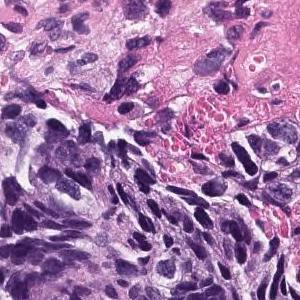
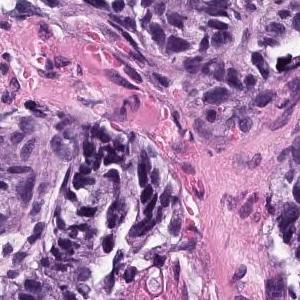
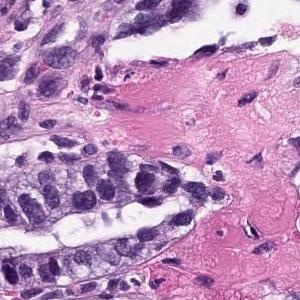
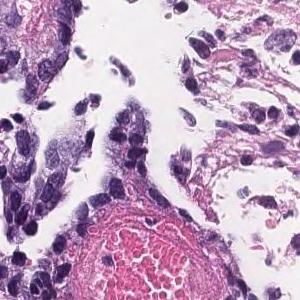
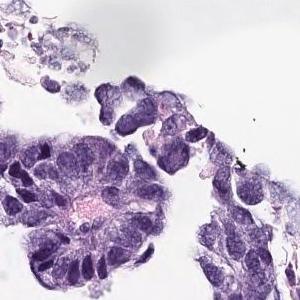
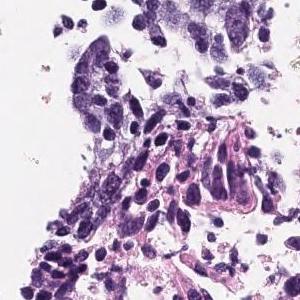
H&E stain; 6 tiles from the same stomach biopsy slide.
The pathologist's report on the biopsy slide these tiles were taken from. The report describes the whole slide, diagnosis included: not every finding it names need appear in these tiles, which may also show non-tumor tissue.
The superficial epithelium shows a large sheet-like shape, and some tumor tissue infiltrates with small irregular ducts. Poorly differentiated adenocarcinoma, solid-type
Histologic type: Poorly differentiated adenocarcinoma, solid type. This name comes from the Japanese Classification of Gastric Carcinoma; the WHO 2019 classification calls it tubular adenocarcinoma, poorly differentiated.
